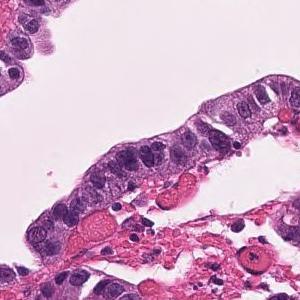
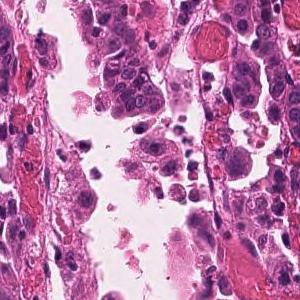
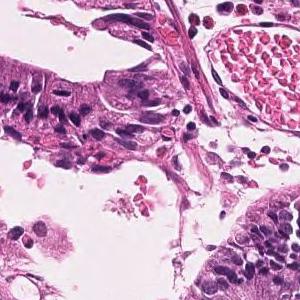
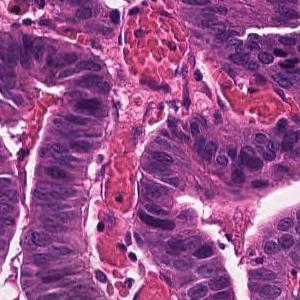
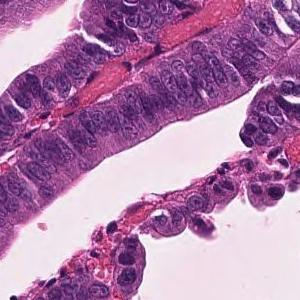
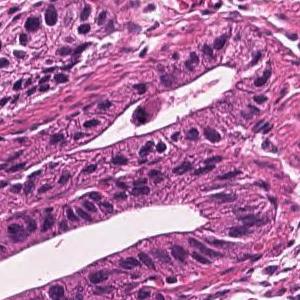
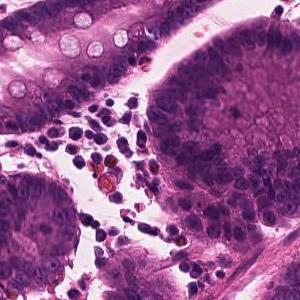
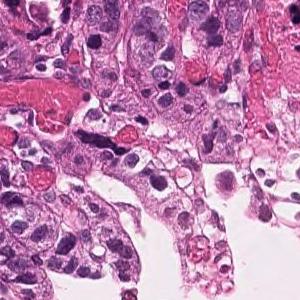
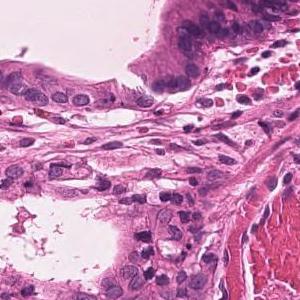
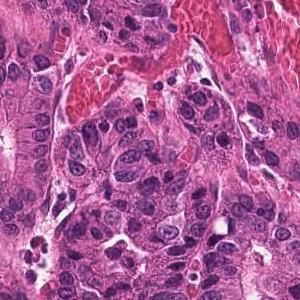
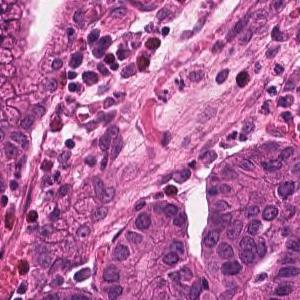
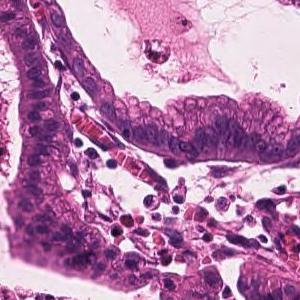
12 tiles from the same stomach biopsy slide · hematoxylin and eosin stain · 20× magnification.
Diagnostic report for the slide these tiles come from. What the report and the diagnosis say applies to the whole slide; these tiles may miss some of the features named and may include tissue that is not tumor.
Infiltrating tumor tissue with medium-sized, irregular ductal structure or large papillary appearance is observed. Well differentiated tubular adenocarcinoma
